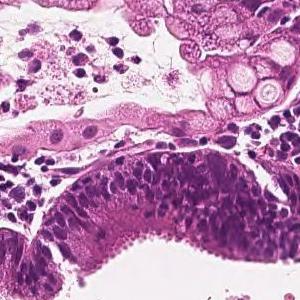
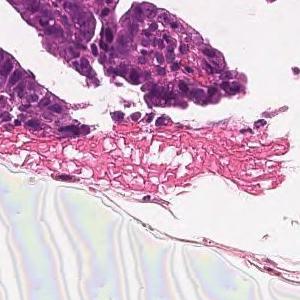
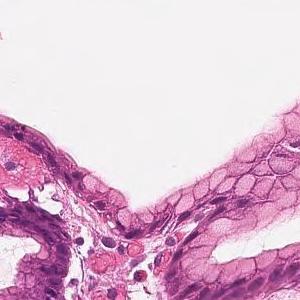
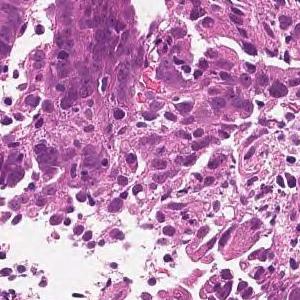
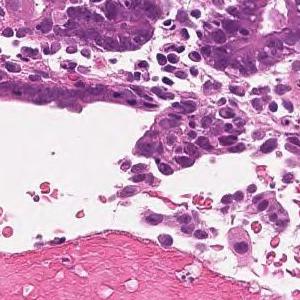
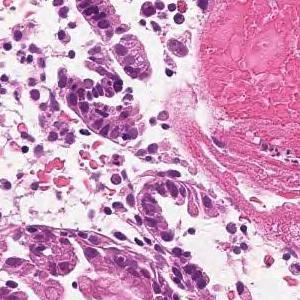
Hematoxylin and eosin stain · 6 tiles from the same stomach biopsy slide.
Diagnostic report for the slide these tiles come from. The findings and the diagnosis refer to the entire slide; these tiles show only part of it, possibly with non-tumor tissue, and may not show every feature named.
On the superficial epithelium, tumor tissue is found in which medium-sized irregular gland ducts fuse with each other and infiltrate. moderately differentiated tubular adenocarcinoma
